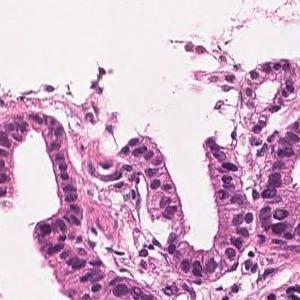
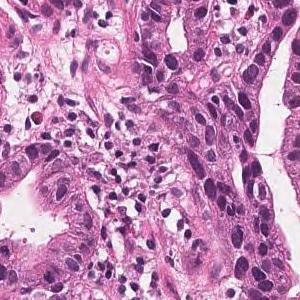
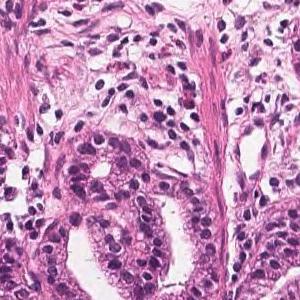
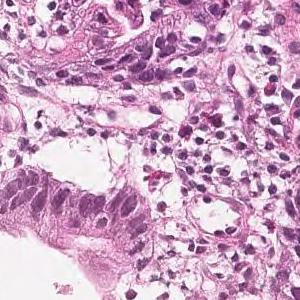
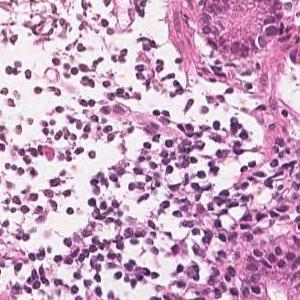
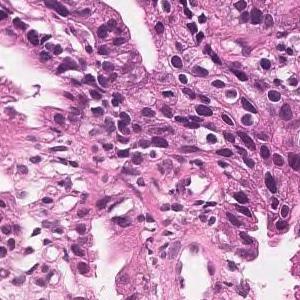
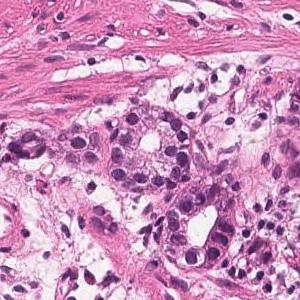
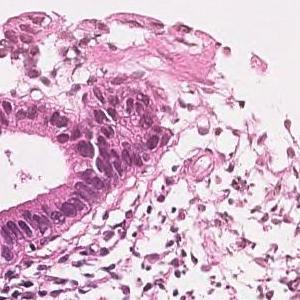
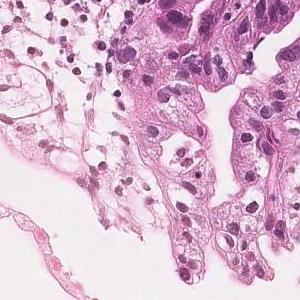
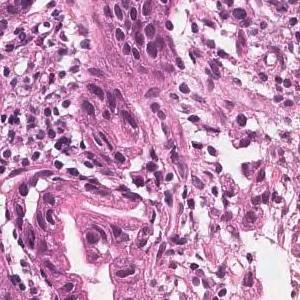
H&E stain · 10 tiles cut from one stomach biopsy slide · 300 × 300 pixels each.
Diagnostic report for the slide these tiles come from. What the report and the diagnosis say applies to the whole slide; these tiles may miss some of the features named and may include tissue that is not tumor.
Tumor tissue consisting of medium-sized and irregular ducts is observed infiltrating in the superficial epithelium. Tumor cells are highly columnar, with nuclei aligned basolaterally and polarized. Well differentiated tubular adenocarcinoma.
